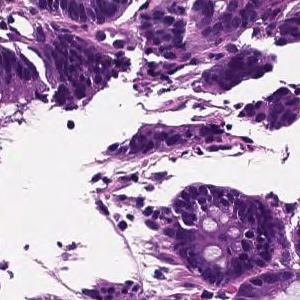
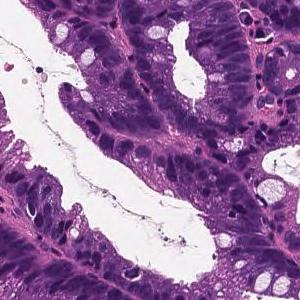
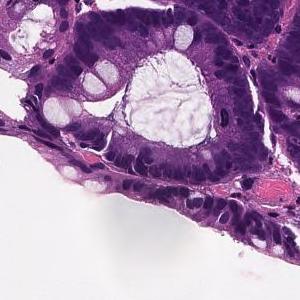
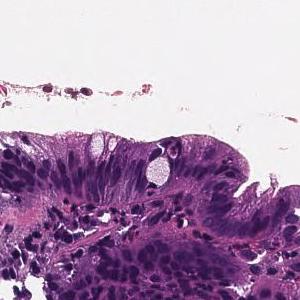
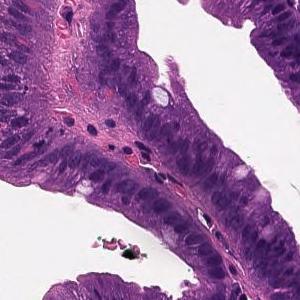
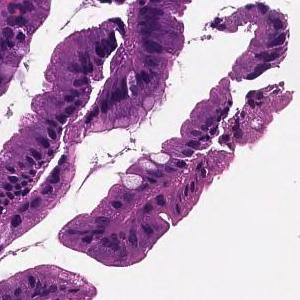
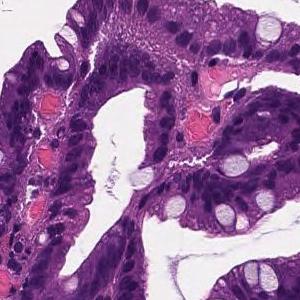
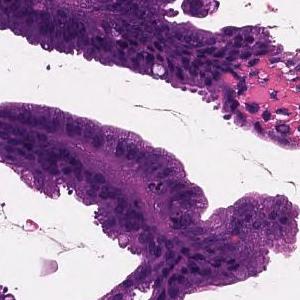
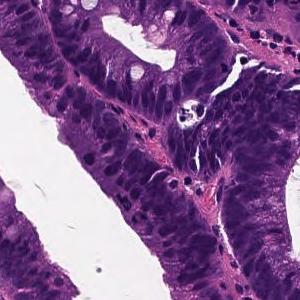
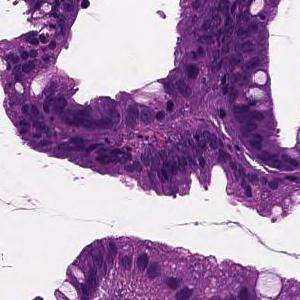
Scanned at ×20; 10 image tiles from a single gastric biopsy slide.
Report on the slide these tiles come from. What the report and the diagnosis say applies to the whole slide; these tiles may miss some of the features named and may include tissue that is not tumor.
moderately differentiated tubular adenocarcinoma infiltrates in the submucosa massively.
Classified as moderately differentiated tubular adenocarcinoma.
